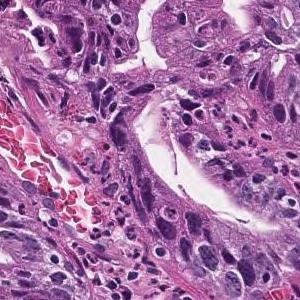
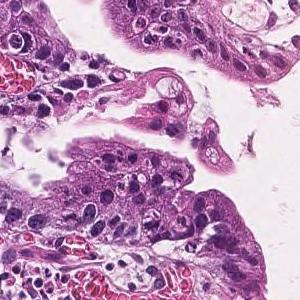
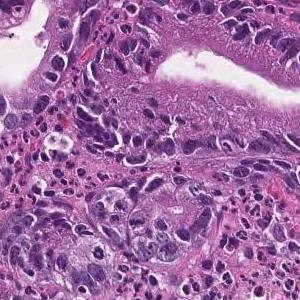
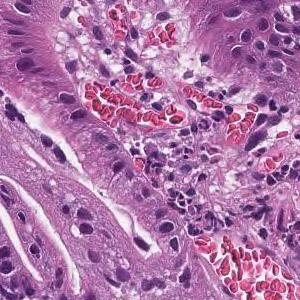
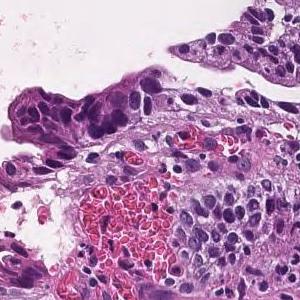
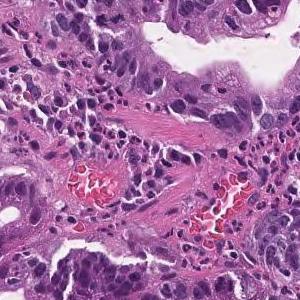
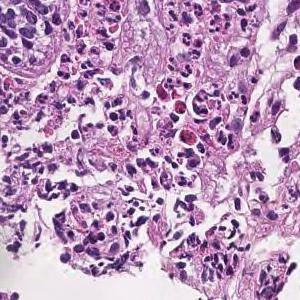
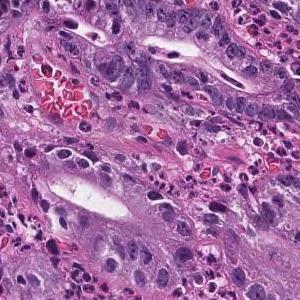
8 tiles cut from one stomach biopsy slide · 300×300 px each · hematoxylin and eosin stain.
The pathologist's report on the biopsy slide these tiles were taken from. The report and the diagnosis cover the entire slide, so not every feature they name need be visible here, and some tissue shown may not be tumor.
Tumor cells are large, highly columnar, large club-shaped nuclei, and are associated with chromatin aggregation. Papillary adenocarcinoma.
